5 image tiles from a single gastric biopsy slide; each 300 × 300 pixels; ×20; hematoxylin and eosin stain.
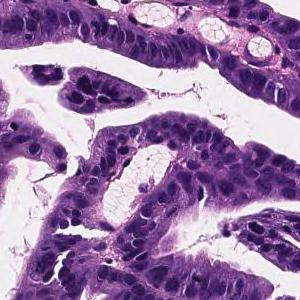
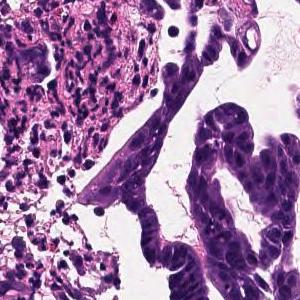
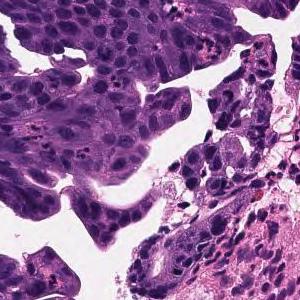
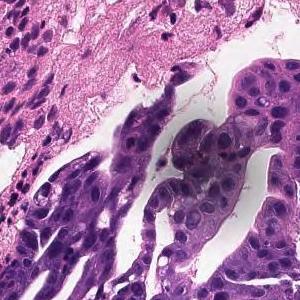
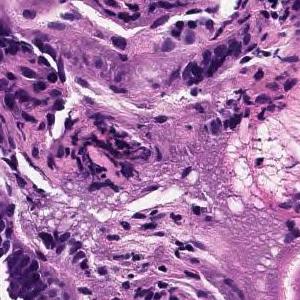
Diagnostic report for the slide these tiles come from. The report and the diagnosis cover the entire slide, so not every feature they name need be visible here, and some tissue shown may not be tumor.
Tumor cells are large, highly columnar, large club-shaped nuclei, and are associated with chromatin aggregation. Papillary adenocarcinoma.
